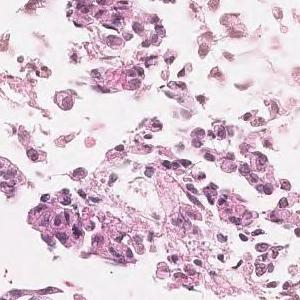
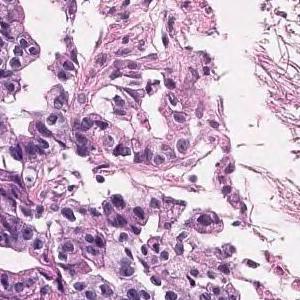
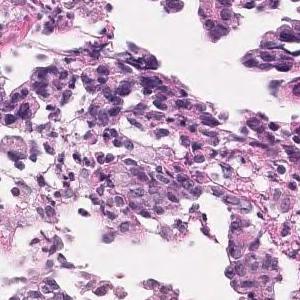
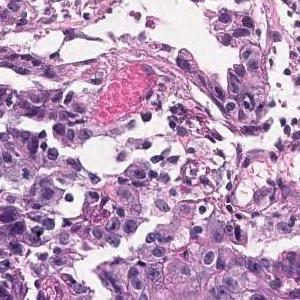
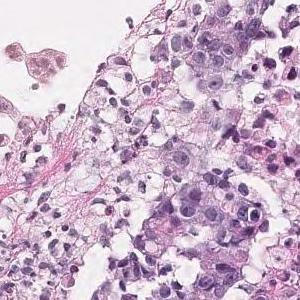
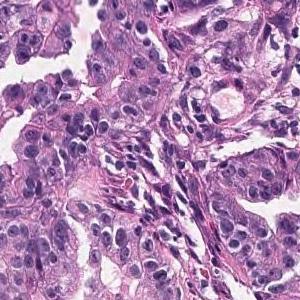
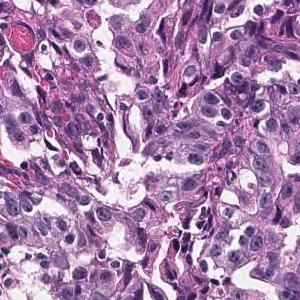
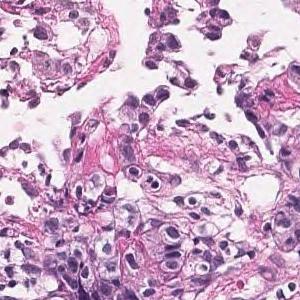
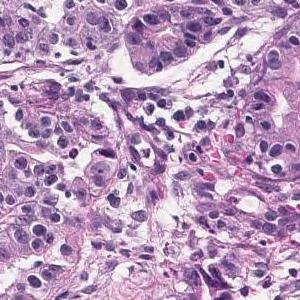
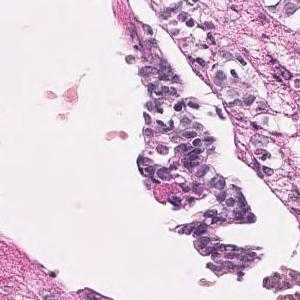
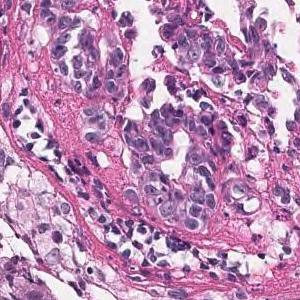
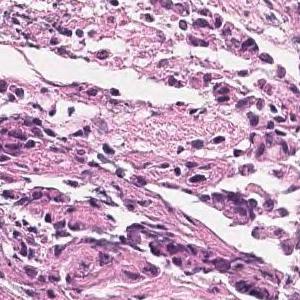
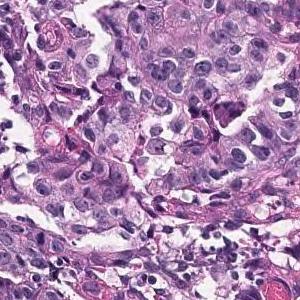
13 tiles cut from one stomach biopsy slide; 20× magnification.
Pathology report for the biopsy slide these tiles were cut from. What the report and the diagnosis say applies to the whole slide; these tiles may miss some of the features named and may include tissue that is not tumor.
In the superficial epithelium, tumor tissue that invades by forming medium-sized to small, irregular ducts is observed. moderately differentiated tubular adenocarcinoma.
